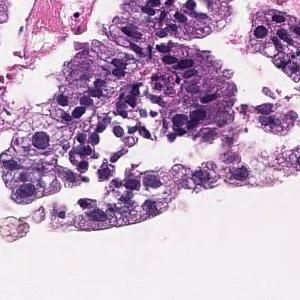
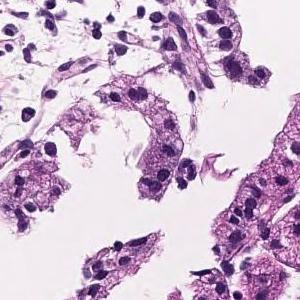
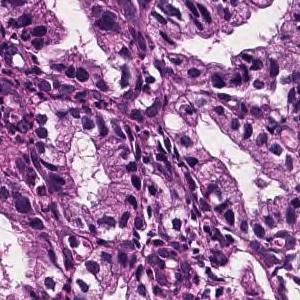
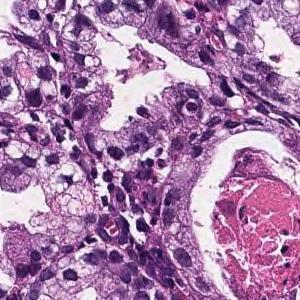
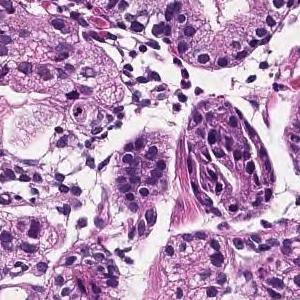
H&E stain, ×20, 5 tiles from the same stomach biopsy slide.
The pathologist's report on the biopsy slide these tiles were taken from. What the report and the diagnosis say applies to the whole slide; these tiles may miss some of the features named and may include tissue that is not tumor.
In the superficial epithelium, tumor tissue that infiltrates by forming medium-sized papillary or small irregular ducts is observed. Papillary adenocarcinoma
